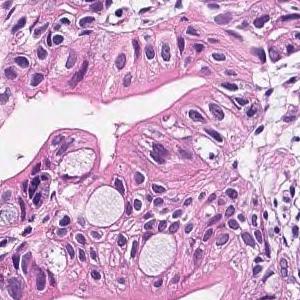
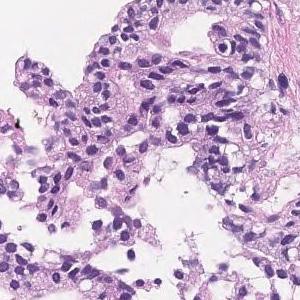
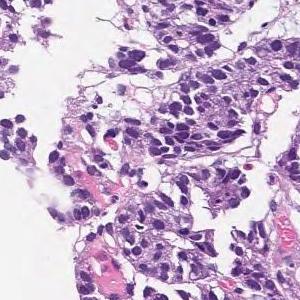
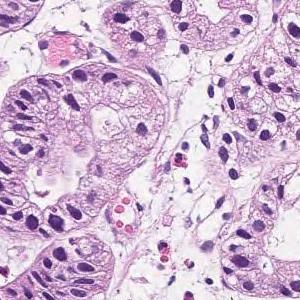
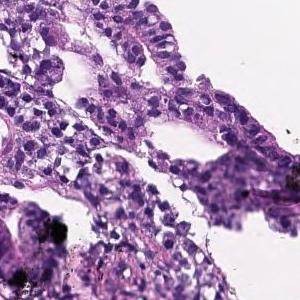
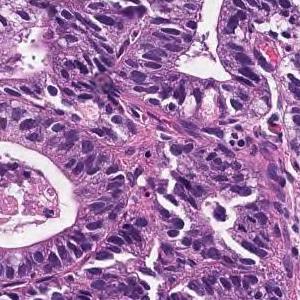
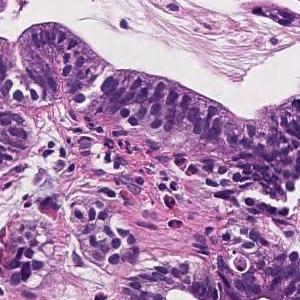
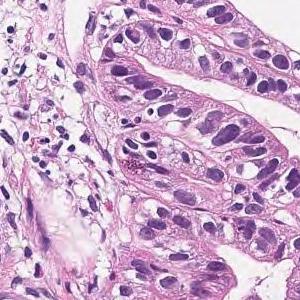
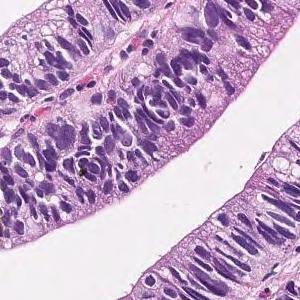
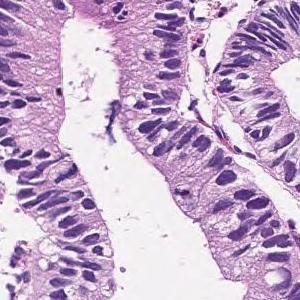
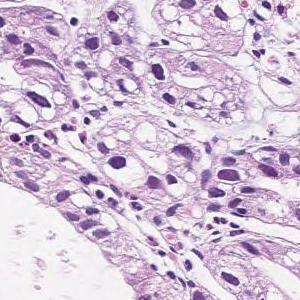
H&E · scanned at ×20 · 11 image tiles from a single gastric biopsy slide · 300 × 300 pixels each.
The pathologist's report on the biopsy slide these tiles were taken from. The findings and the diagnosis refer to the entire slide; these tiles show only part of it, possibly with non-tumor tissue, and may not show every feature named.
In the superficial epithelium, tumor tissue that invades by forming medium-sized to small, irregular ducts is observed. Moderately differentiated adenocarcinoma.
Histological subtype: Moderately differentiated tubular adenocarcinoma.
